9 tiles from the same stomach biopsy slide · each 300 × 300 pixels · H&E stain · ×20.
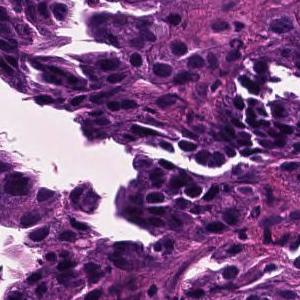
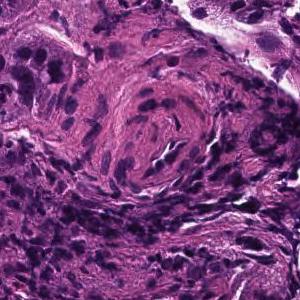
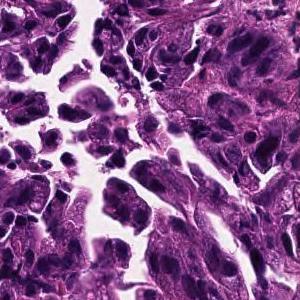
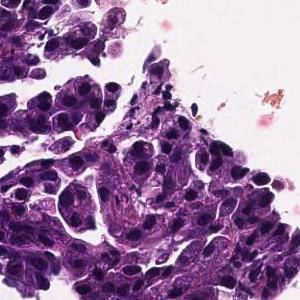
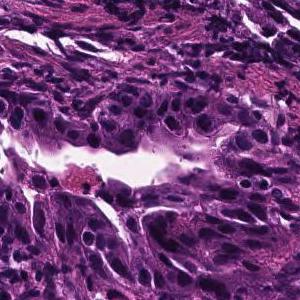
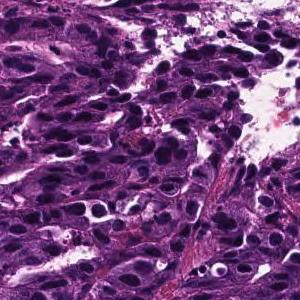
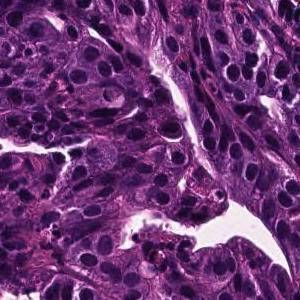
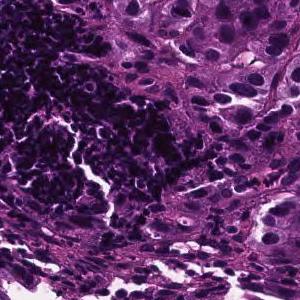
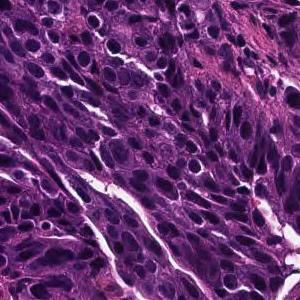
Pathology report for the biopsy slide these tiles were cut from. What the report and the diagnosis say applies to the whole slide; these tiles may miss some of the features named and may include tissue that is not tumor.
Tumor tissue consisting of medium-sized, cord-like or irregular glandular fusion and infiltration is observed in the superficial epithelium. Poorly differentiated adenocarcinoma, non-solid type or moderately differentiated tubular adenocarcinoma
Histological subtype: Moderately to poorly differentiated adenocarcinoma.
The non-solid type named here is a Japanese Classification of Gastric Carcinoma category.
